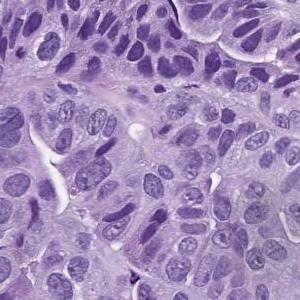
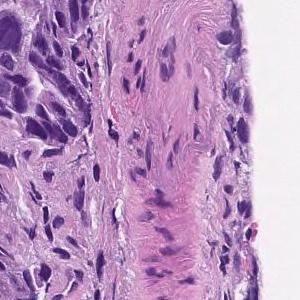
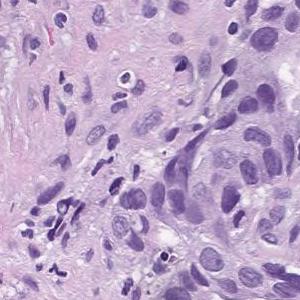
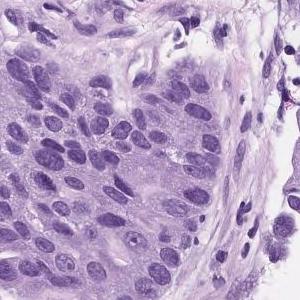
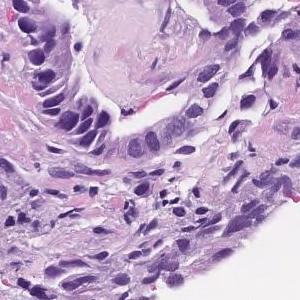
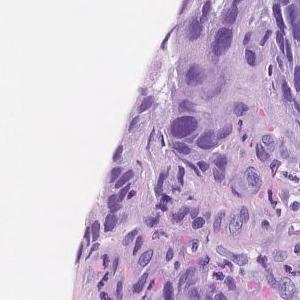
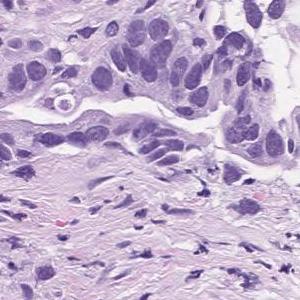
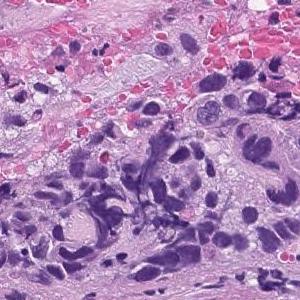
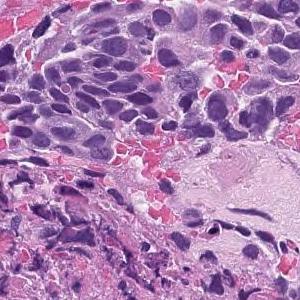
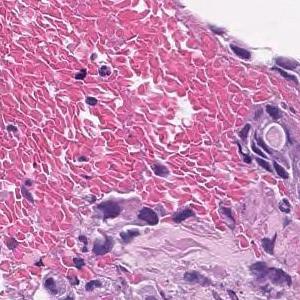
H&E, 20× magnification, 10 tiles from the same stomach biopsy slide, each 300 × 300 pixels.
The pathologist's report on the biopsy slide these tiles were taken from. The findings and the diagnosis refer to the entire slide; these tiles show only part of it, possibly with non-tumor tissue, and may not show every feature named.
In the superficial epithelium, tumor tissue that invades by forming medium-sized to small, irregular ducts is observed. moderately differentiated tubular adenocarcinoma.
